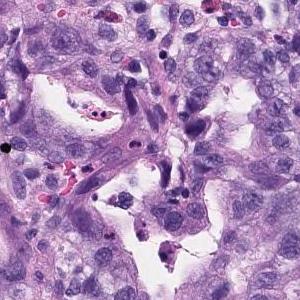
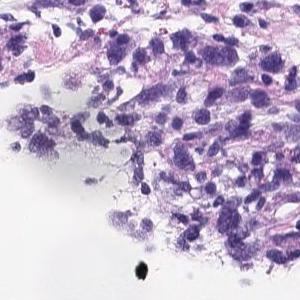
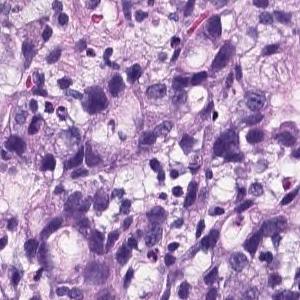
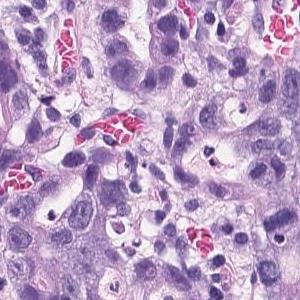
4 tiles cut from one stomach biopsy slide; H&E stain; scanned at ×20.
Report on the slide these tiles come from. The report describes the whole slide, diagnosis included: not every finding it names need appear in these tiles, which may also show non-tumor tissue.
There are atypical l cells with atypical nuclei forming cord-like or irregular atypical ducts from solidity and proliferating in a comprehensive manner. Poorly differentiated adenocarcinoma, Moderately differentiated adenocarcinoma (poorly differentiated adenocarcinoma, solid type moderately differentiated tubular adenocarcinoma)
Tumor subtype: moderately to poorly differentiated adenocarcinoma.
The term "solid type" comes from the Japanese Classification of Gastric Carcinoma; the WHO 2019 equivalent is tubular adenocarcinoma, poorly differentiated.
